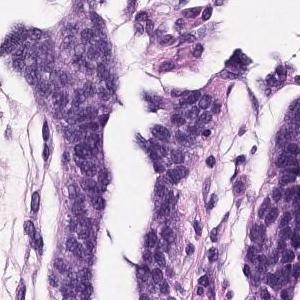
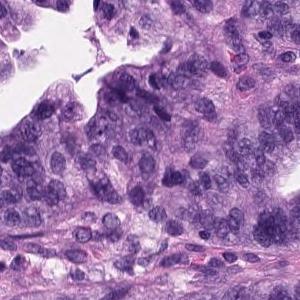
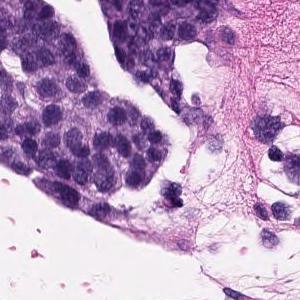
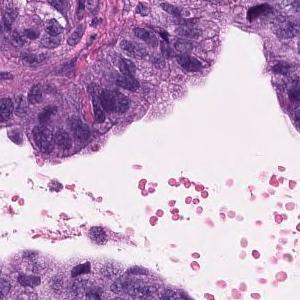
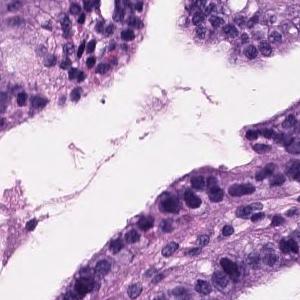
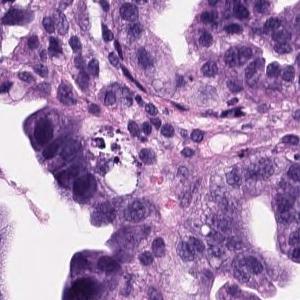
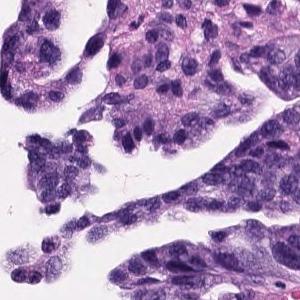
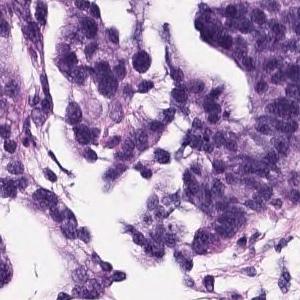
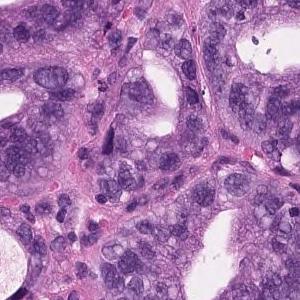
9 patches cut from one gastric biopsy slide; hematoxylin and eosin stain.
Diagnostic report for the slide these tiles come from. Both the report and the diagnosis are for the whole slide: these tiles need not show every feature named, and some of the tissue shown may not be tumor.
Tumor cells are large, highly columnar, large club-shaped nuclei, and are associated with chromatin aggregation. Papillary adenocarcinoma.
